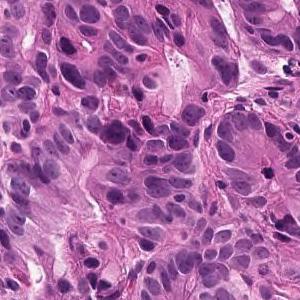
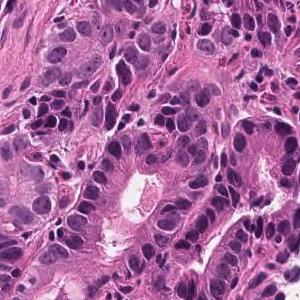
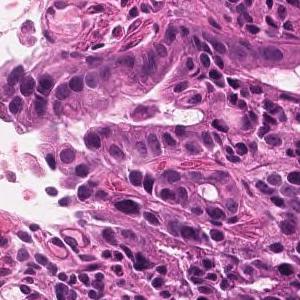
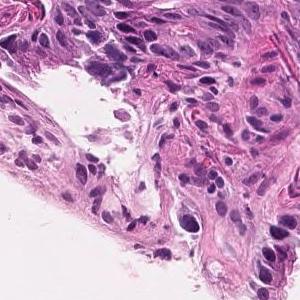
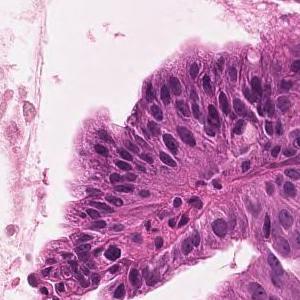
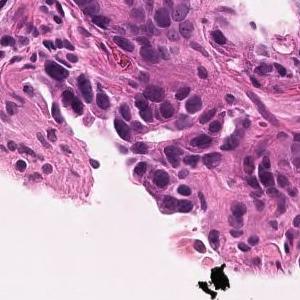
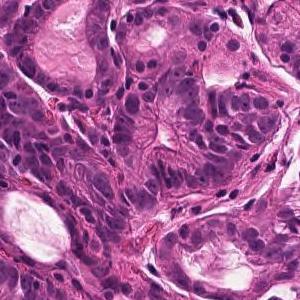
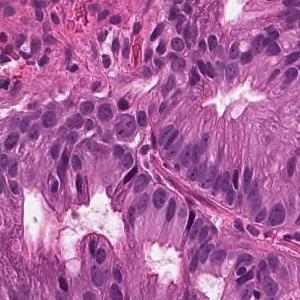
8 tiles from the same stomach biopsy slide, H&E stain.
The pathologist's report on the biopsy slide these tiles were taken from. Both the report and the diagnosis are for the whole slide: these tiles need not show every feature named, and some of the tissue shown may not be tumor.
In the superficial epithelium, tumor tissue that invades by forming medium-sized to small, irregular ducts is observed. Well differentiated tubular adenocarcinoma.
